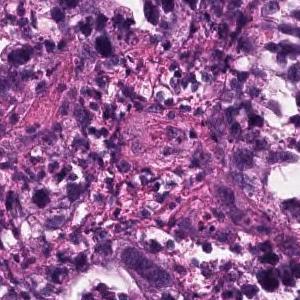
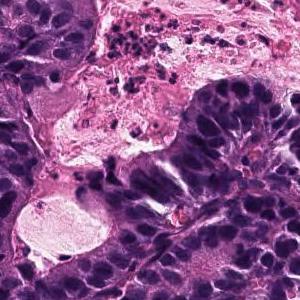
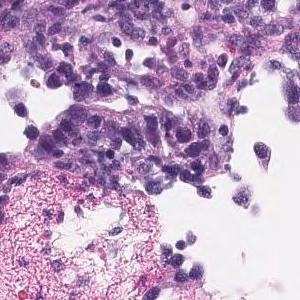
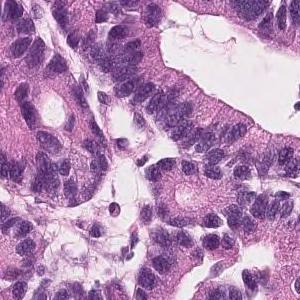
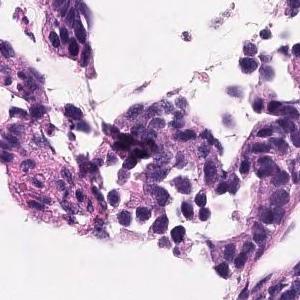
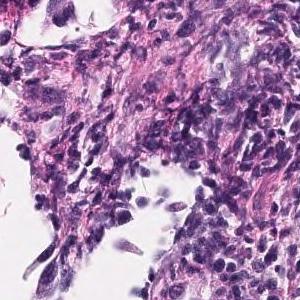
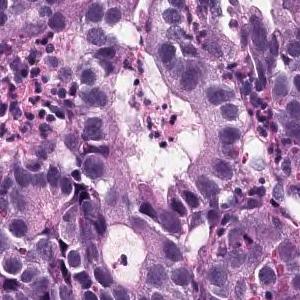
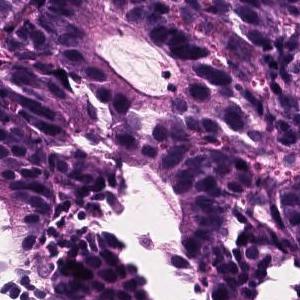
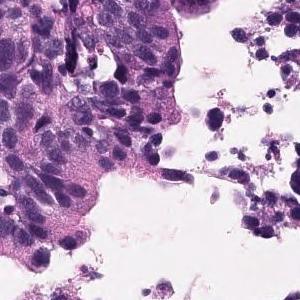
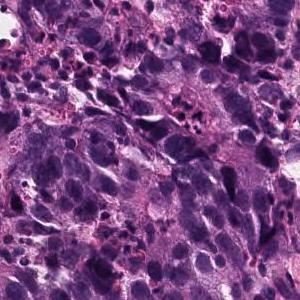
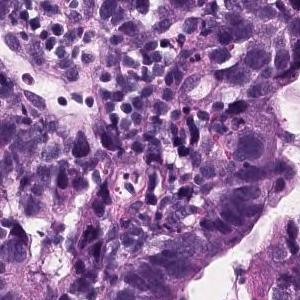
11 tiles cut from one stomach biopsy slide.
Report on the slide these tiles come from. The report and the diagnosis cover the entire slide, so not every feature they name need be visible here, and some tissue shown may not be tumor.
In the superficial epithelium, tumor tissue that invades by forming medium-sized to small, irregular ducts is observed. moderately differentiated tubular adenocarcinoma.
